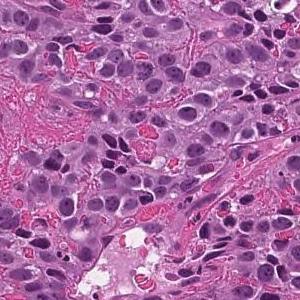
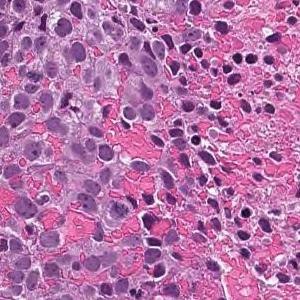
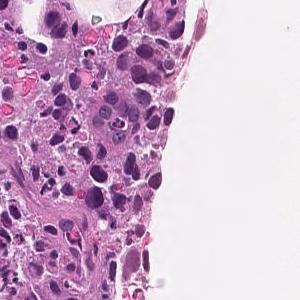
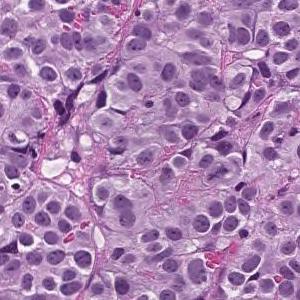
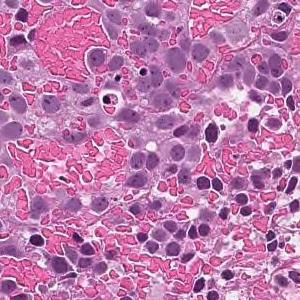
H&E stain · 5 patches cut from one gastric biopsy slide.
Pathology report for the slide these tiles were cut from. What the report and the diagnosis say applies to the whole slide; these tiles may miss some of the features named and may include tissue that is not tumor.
The superficial epithelium shows a large sheet-like shape, and some tumor tissue infiltrates with small irregular ducts. Poorly differentiated adenocarcinoma, solid-type
Subtype: Poorly differentiated adenocarcinoma, solid type (Japanese Classification of Gastric Carcinoma). The WHO 2019 equivalent is tubular adenocarcinoma, poorly differentiated.
